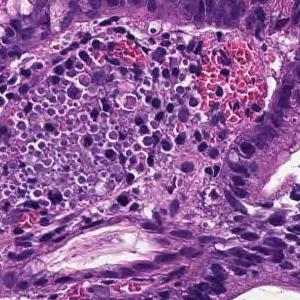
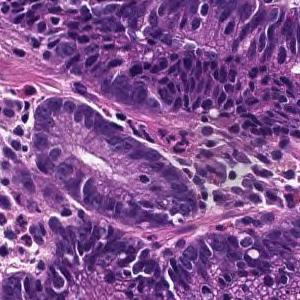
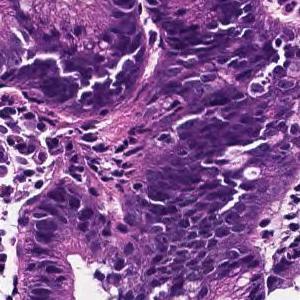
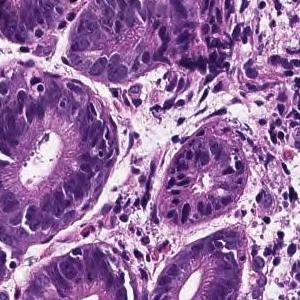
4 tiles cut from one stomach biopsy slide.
Pathology report for the slide these tiles were cut from. Both the report and the diagnosis are for the whole slide: these tiles need not show every feature named, and some of the tissue shown may not be tumor.
From the superficial epithelium to the muscularis mucosae, tumor tissue consisting of medium-sized and irregular glandular ducts infiltrating is observed. Well differentiated tubular adenocarcinoma
